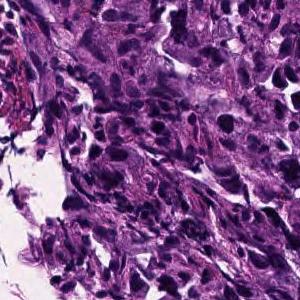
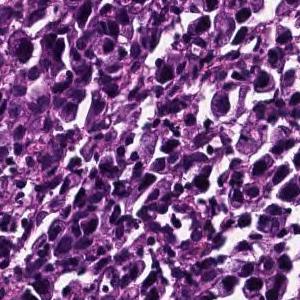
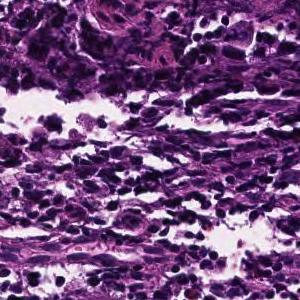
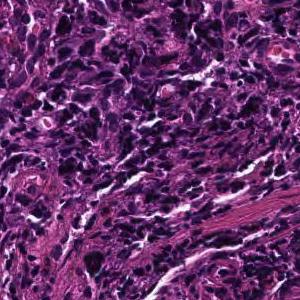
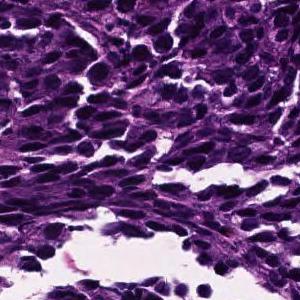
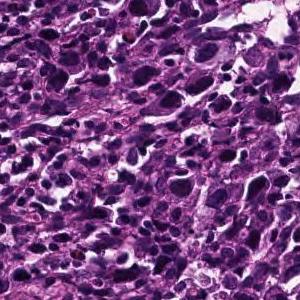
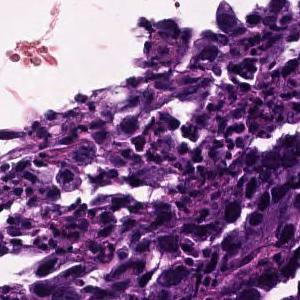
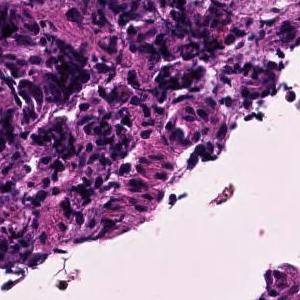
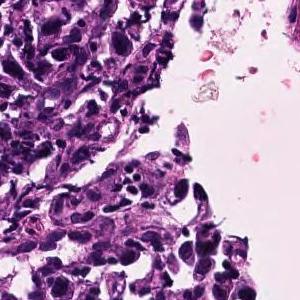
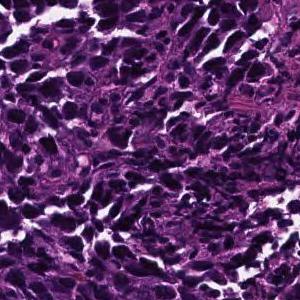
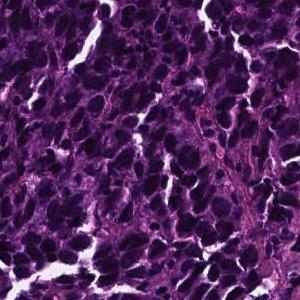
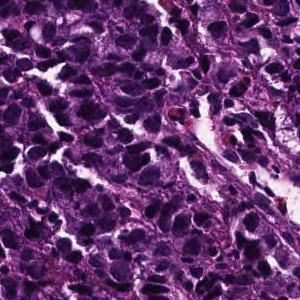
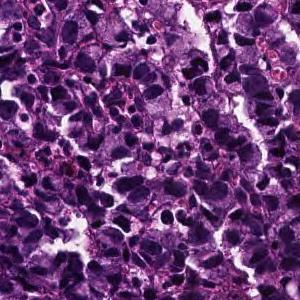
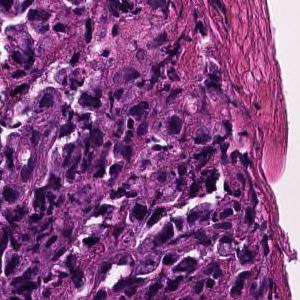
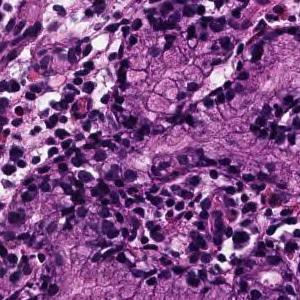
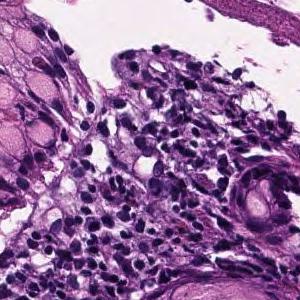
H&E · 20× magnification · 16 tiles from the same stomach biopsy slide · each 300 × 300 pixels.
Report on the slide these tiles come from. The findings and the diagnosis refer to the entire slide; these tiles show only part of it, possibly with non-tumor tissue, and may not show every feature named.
The superficial epithelium shows a large sheet-like shape, and some tumor tissues infiltrate with a small cord-like structure. Poorly differentiated adenocarcinoma, solid type (poorly differentiated adenocarcinoma, solid type)
Tumor subtype: poorly differentiated adenocarcinoma, solid type (Japanese Classification of Gastric Carcinoma). The WHO 2019 equivalent is tubular adenocarcinoma, poorly differentiated.
